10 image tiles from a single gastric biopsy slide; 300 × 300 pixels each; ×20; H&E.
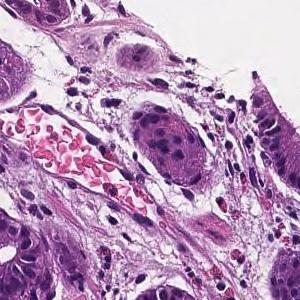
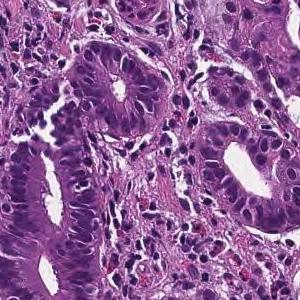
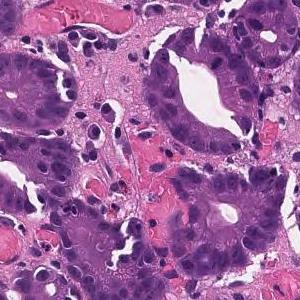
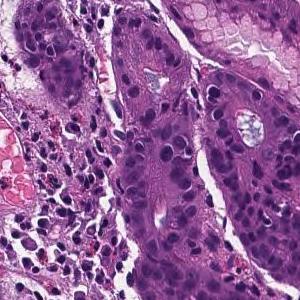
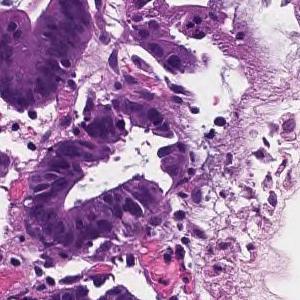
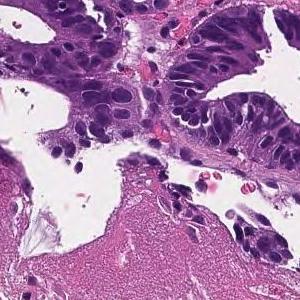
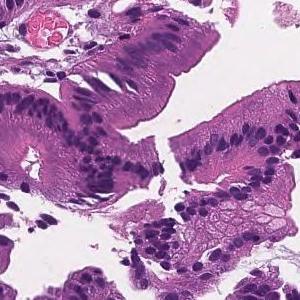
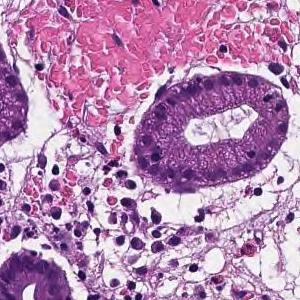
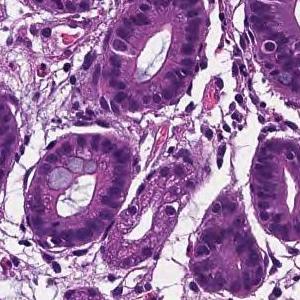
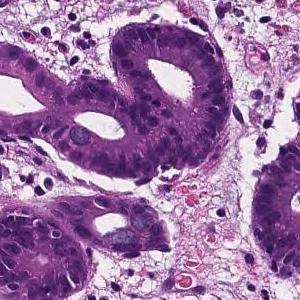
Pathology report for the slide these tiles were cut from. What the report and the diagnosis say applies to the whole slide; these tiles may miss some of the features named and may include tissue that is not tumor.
From the superficial epithelium to the muscularis mucosae, tumor tissue consisting of medium-sized and irregular glandular ducts infiltrating is observed. Well differentiated tubular adenocarcinoma
